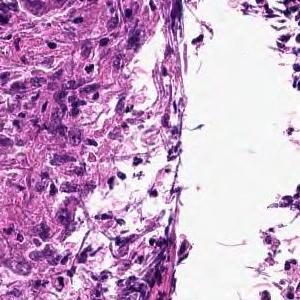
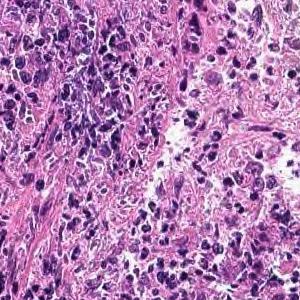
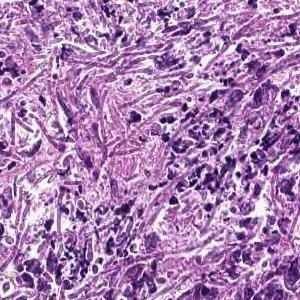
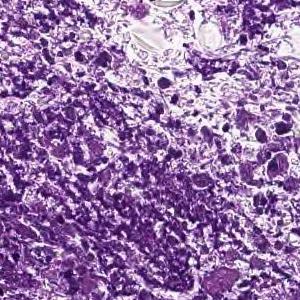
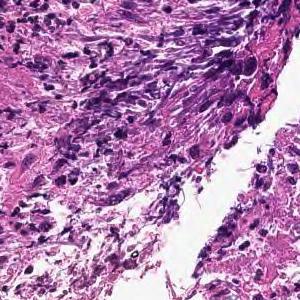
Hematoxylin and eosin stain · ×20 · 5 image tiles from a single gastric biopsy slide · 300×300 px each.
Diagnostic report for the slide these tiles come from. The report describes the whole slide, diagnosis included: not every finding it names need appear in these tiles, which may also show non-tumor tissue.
Cancers with polygonal nuclei do not show glandular formation and are densely, in part, cord-like and proliferate. Poorly differentiated adenocarcinoma
Tumor subtype: poorly differentiated adenocarcinoma, non-solid type.
"Non-solid type" is a category of the Japanese Classification of Gastric Carcinoma.
